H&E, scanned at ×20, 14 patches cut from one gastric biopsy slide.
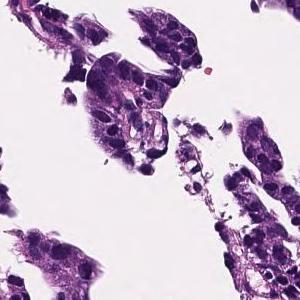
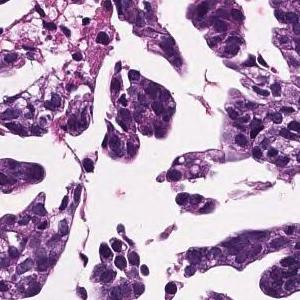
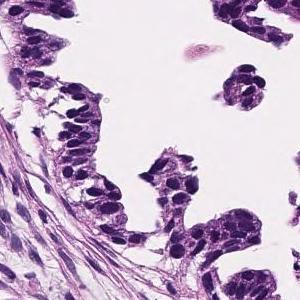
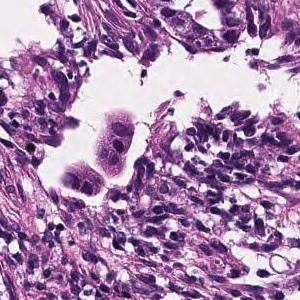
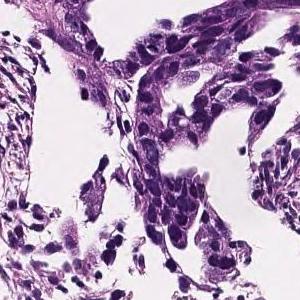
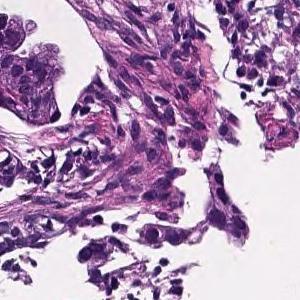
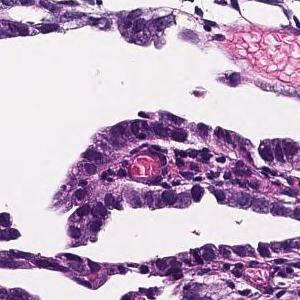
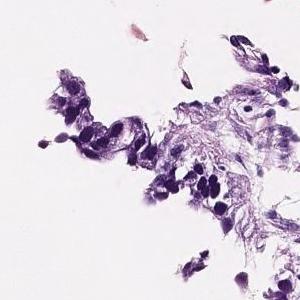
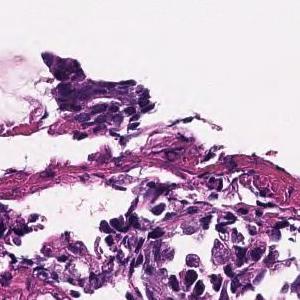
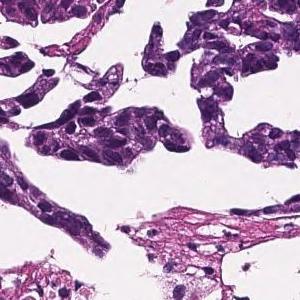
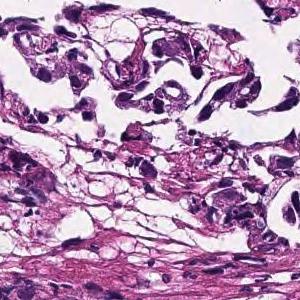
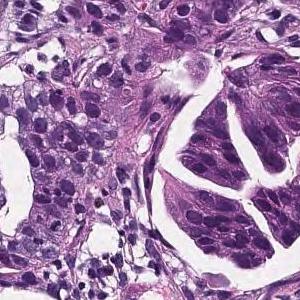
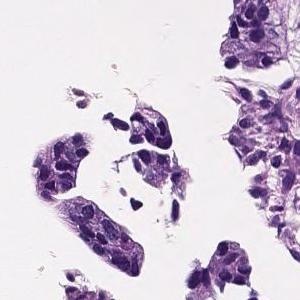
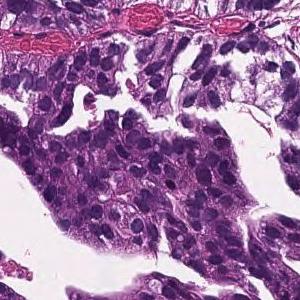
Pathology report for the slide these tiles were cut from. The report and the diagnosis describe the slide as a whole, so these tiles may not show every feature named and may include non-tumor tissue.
In the lamina propria, tumor tissue that invades by forming medium-sized to small, irregular glandular ducts is observed. moderately differentiated tubular adenocarcinoma
